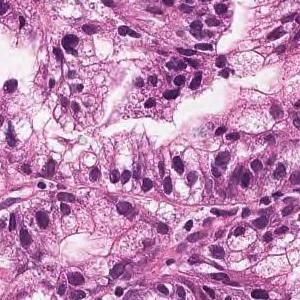
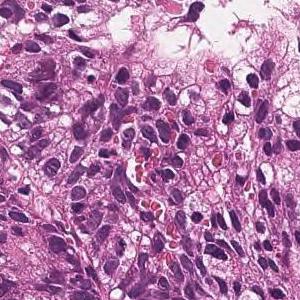
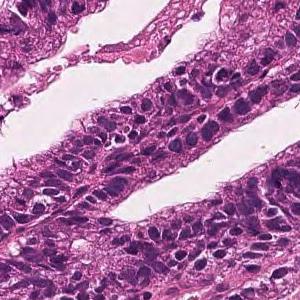
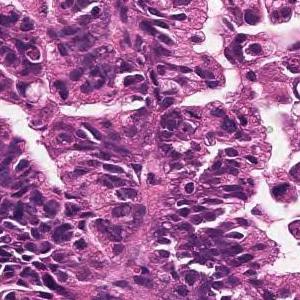
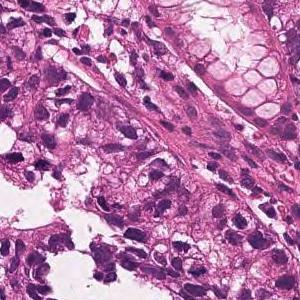
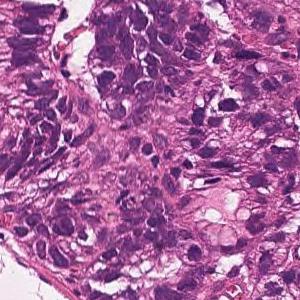
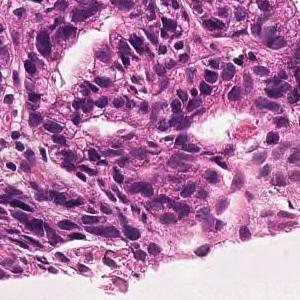
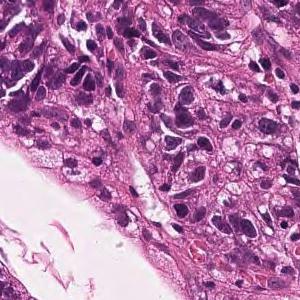
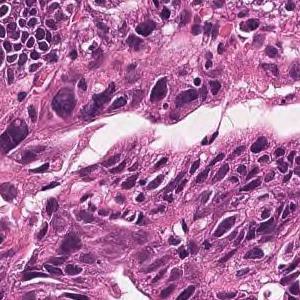
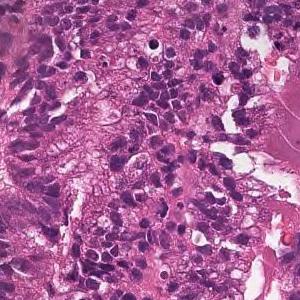
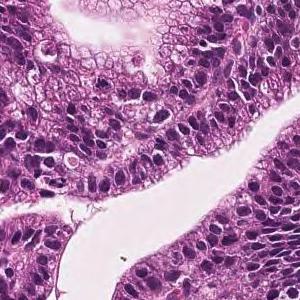
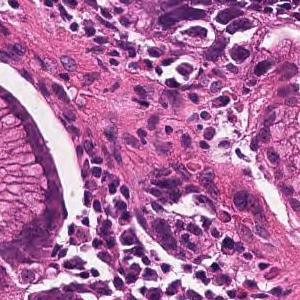
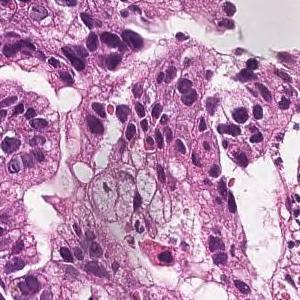
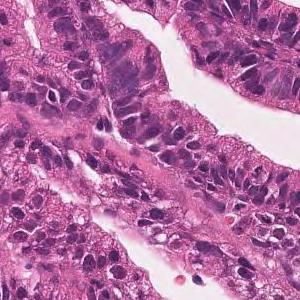
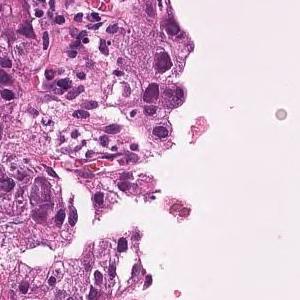
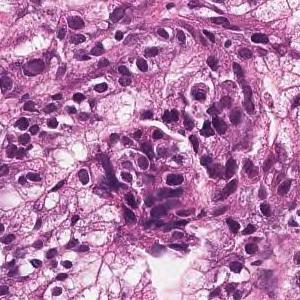
H&E; 20× magnification; 16 tiles cut from one stomach biopsy slide; 300 × 300 pixels each.
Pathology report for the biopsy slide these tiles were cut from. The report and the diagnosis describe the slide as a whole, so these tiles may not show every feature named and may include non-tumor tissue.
On the superficial epithelium, tumor tissue consisting of large, irregular glandular ducts partially fused and infiltrated is observed. Well to moderately differentiated tubular adenocarcinoma (well differentiated tubular adenocarcinoma, moderately differentiated tubular adenocarcinoma)
Tumor subtype: well to moderately differentiated tubular adenocarcinoma.
